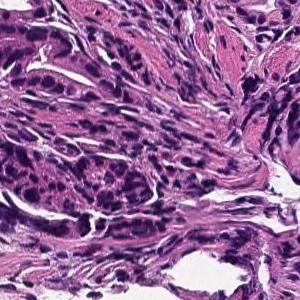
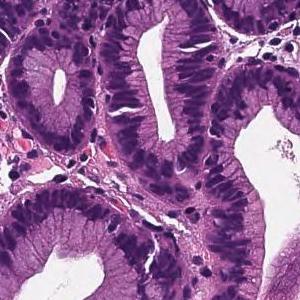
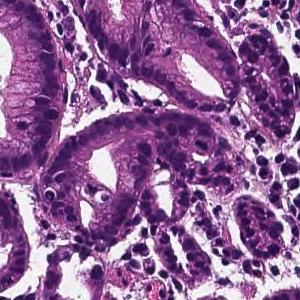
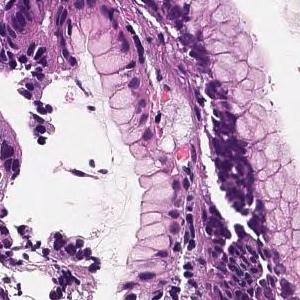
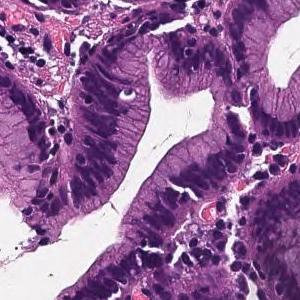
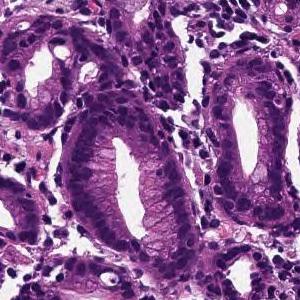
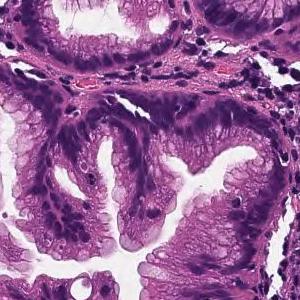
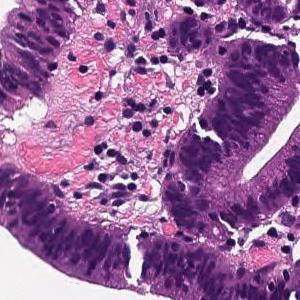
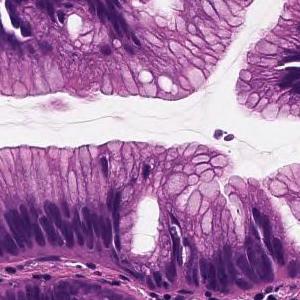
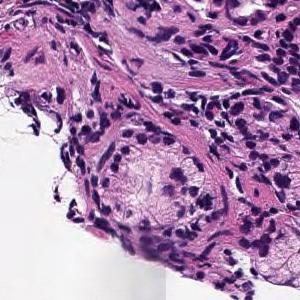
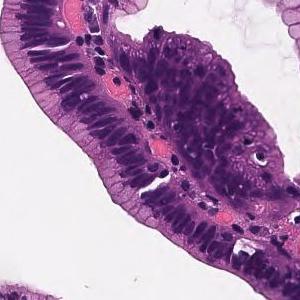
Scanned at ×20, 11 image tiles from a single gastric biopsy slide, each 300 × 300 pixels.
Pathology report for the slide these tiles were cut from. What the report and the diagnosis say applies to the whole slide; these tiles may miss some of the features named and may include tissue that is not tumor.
Cells with elliptical or atypical nuclei form dense ducts with relatively clear growth. Well differentiated tubular adenocarcinoma
